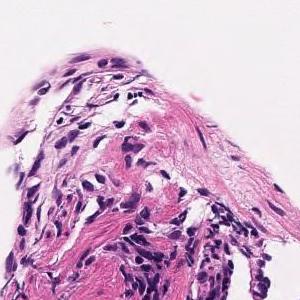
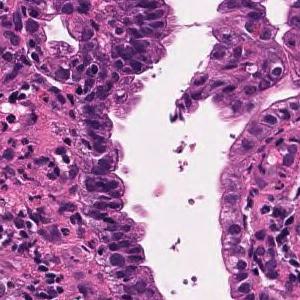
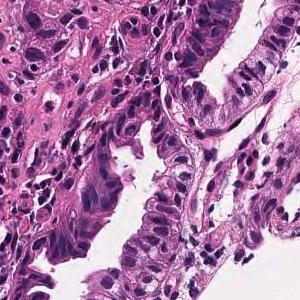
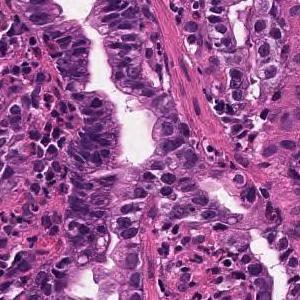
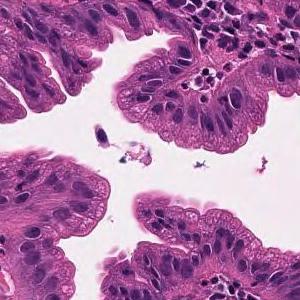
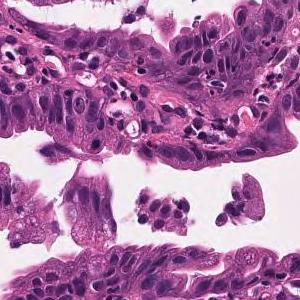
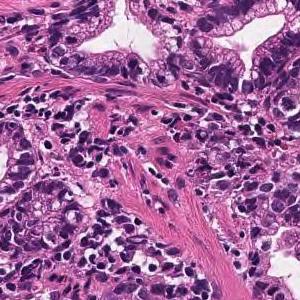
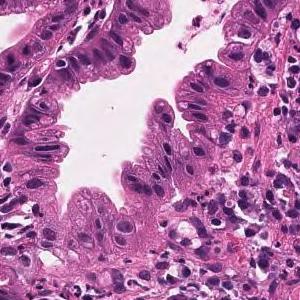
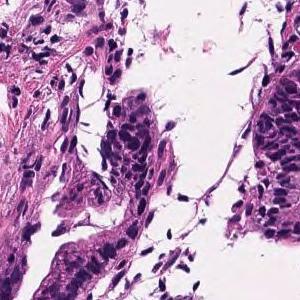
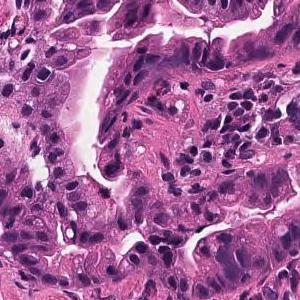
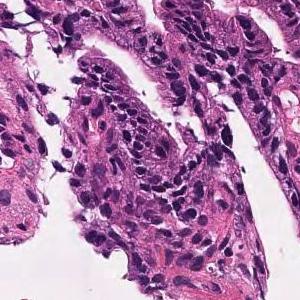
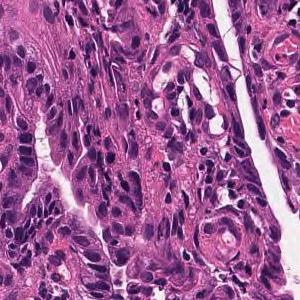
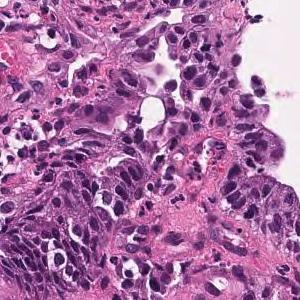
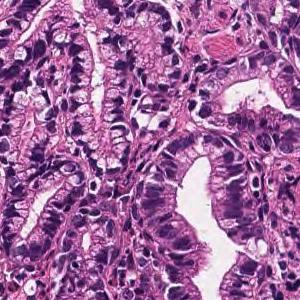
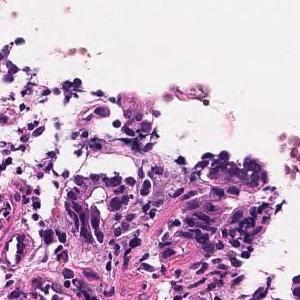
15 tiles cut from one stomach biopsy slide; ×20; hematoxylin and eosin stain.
Pathology report for the slide these tiles were cut from. The findings and the diagnosis refer to the entire slide; these tiles show only part of it, possibly with non-tumor tissue, and may not show every feature named.
Tumor tissue in which medium to small irregular ducts infiltrate and proliferate in the submucosa can be seen in the epithelium. Well differentiated tubular adenocarcinoma
